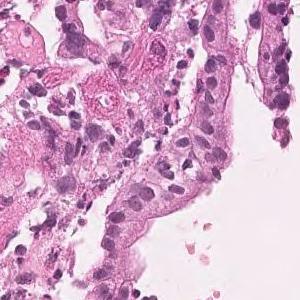
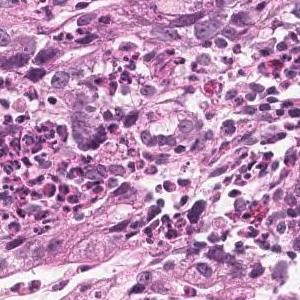
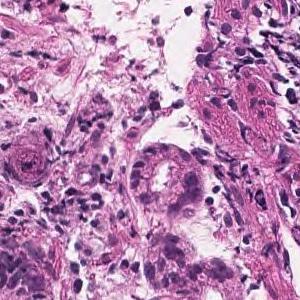
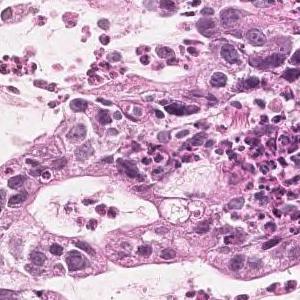
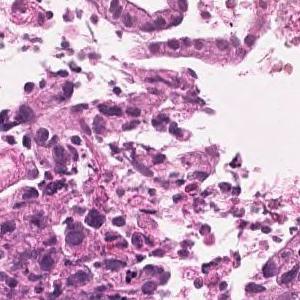
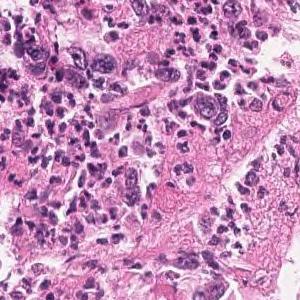
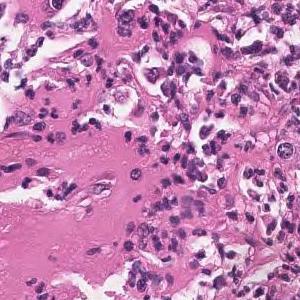
20× magnification · hematoxylin and eosin stain · 7 tiles from the same stomach biopsy slide.
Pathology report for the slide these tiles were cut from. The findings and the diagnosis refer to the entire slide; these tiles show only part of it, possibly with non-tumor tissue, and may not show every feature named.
In the superficial epithelium, medium to small irregular gland ducts are formed, and in some cases, the ducts are fused to show solid alveolar lesions and infiltrating tumor tissue is observed. Moderately to poorly differentiated adenocarcinoma
